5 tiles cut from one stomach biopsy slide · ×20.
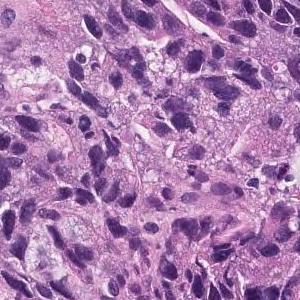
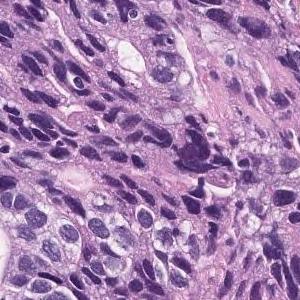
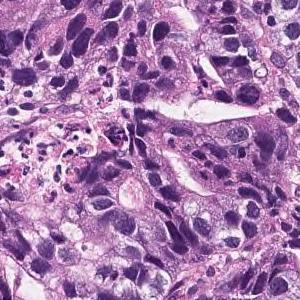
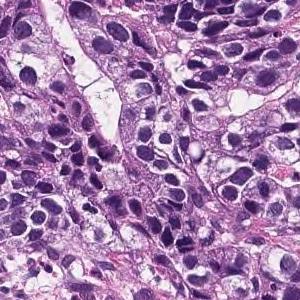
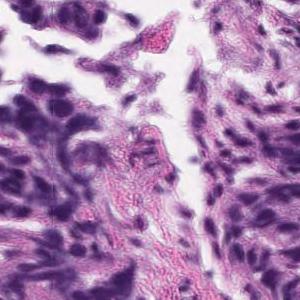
Report on the slide these tiles come from. The report describes the whole slide, diagnosis included: not every finding it names need appear in these tiles, which may also show non-tumor tissue.
Medium to small, irregular glandular ducts are formed in the superficial epithelium, and in some cases, the glandular ducts are fused to show solid alveolar lesions and infiltrating tumor tissue is observed. Moderately to poorly differentiated adenocarcinoma.
